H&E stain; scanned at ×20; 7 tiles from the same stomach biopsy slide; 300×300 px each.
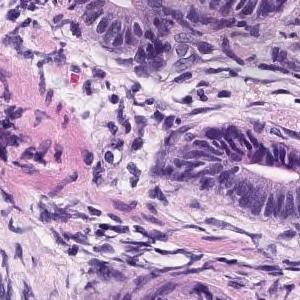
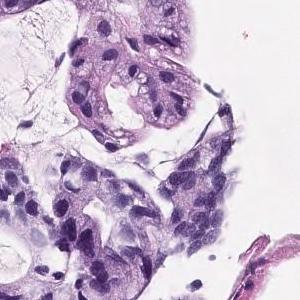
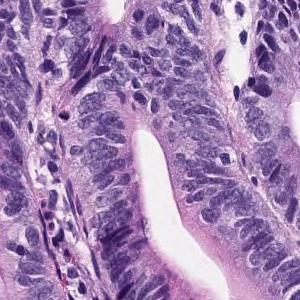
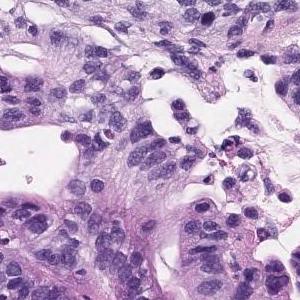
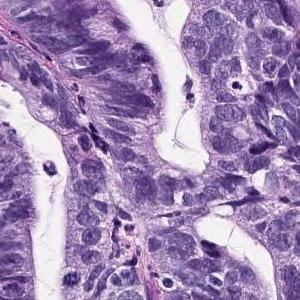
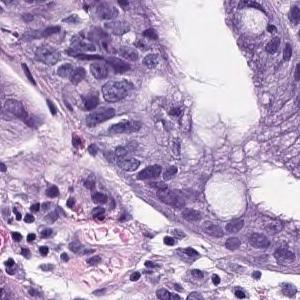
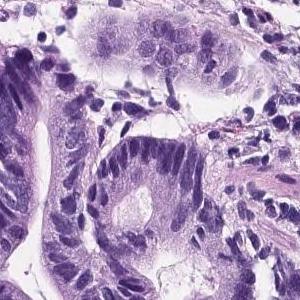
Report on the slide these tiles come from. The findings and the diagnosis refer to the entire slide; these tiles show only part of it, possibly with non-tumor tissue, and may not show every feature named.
On the superficial epithelium, tumor tissue consisting of medium-sized to large-sized, round or irregular glandular duct growth images is observed. Well differentiated adenocarcinoma.
Tumor subtype: well differentiated tubular adenocarcinoma.
